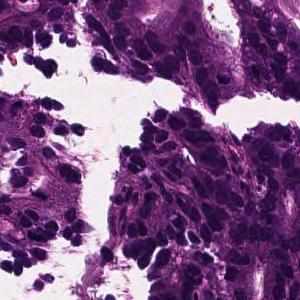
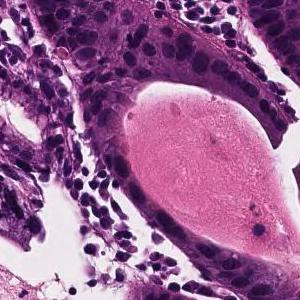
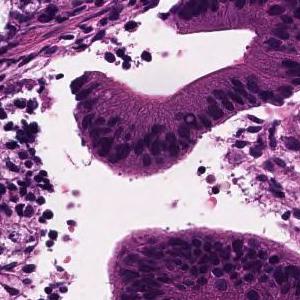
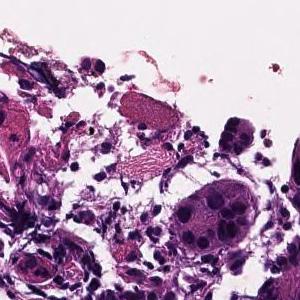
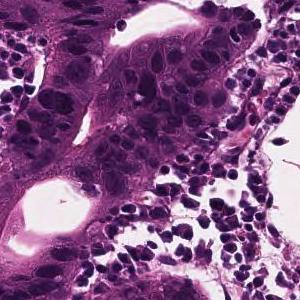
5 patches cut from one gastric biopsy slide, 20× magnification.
The pathologist's report on the biopsy slide these tiles were taken from. Both the report and the diagnosis are for the whole slide: these tiles need not show every feature named, and some of the tissue shown may not be tumor.
In the superficial epithelium, tumor tissue that invades by forming medium-sized to small, irregular ducts is observed. moderately differentiated tubular adenocarcinoma.
